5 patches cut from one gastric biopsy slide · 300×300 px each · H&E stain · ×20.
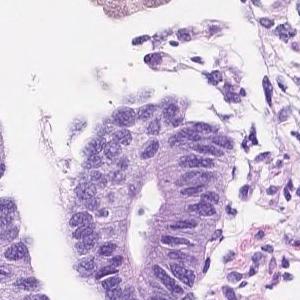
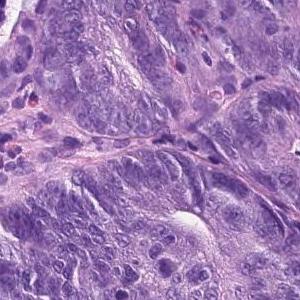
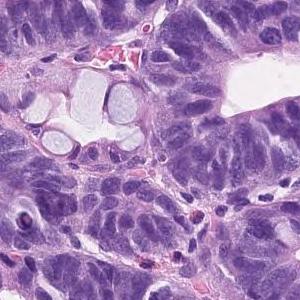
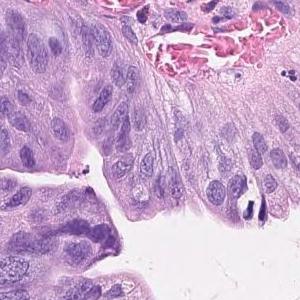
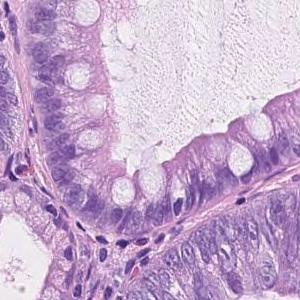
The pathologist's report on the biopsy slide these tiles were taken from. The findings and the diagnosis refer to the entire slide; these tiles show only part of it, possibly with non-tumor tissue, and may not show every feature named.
Tumor tissue consisting of medium-sized and irregular ducts is observed infiltrating in the superficial epithelium. Tumor cells are highly columnar, with nuclei aligned basolaterally and polarized. Well differentiated tubular adenocarcinoma.
